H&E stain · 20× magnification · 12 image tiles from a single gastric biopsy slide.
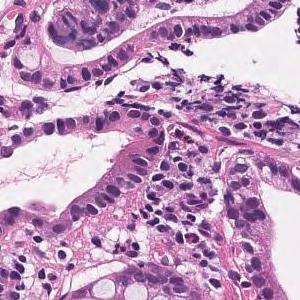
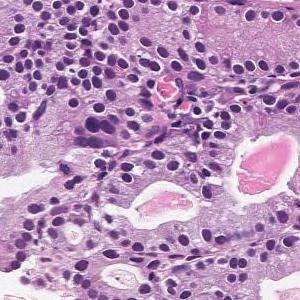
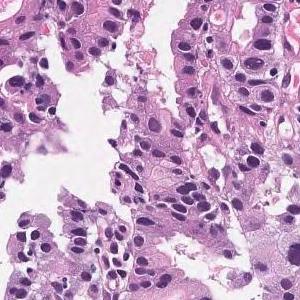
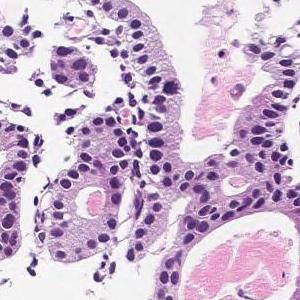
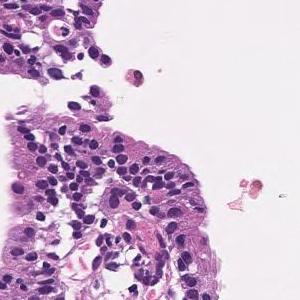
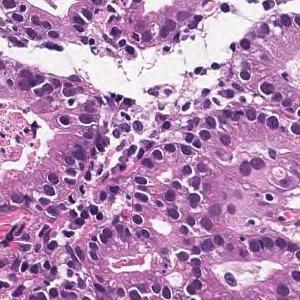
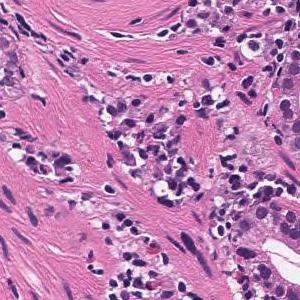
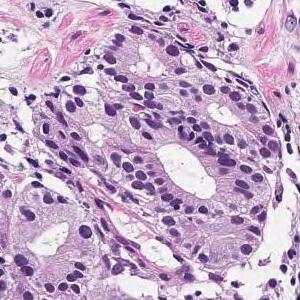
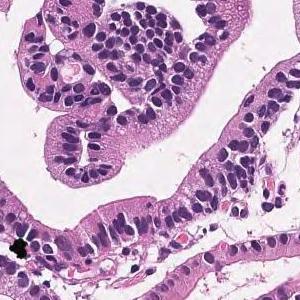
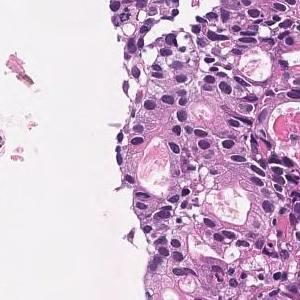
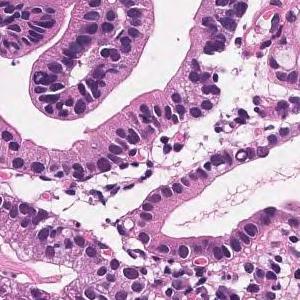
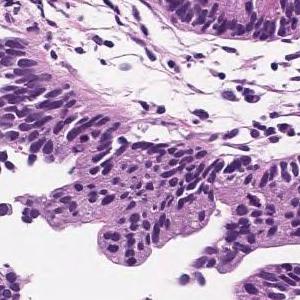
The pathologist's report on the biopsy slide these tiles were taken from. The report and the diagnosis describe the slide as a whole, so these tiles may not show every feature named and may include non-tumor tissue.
Medium to small, irregular glandular ducts are formed in the superficial epithelium, and in some cases, the glandular ducts are fused to show solid alveolar lesions and infiltrating tumor tissue is observed. Moderately to poorly differentiated adenocarcinoma.
